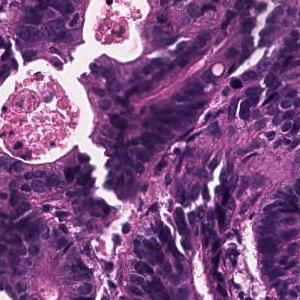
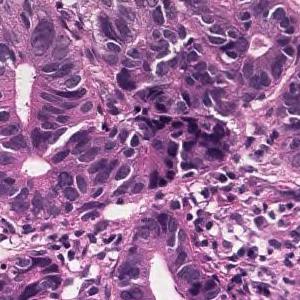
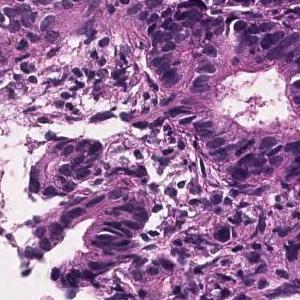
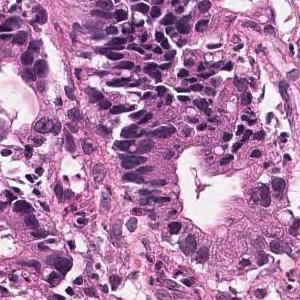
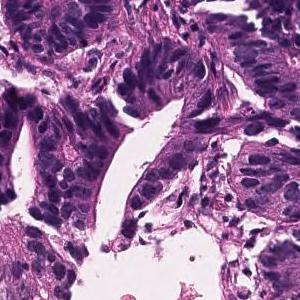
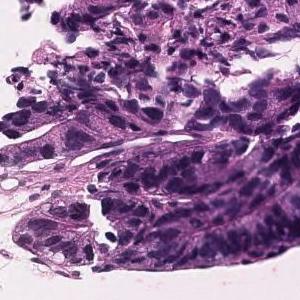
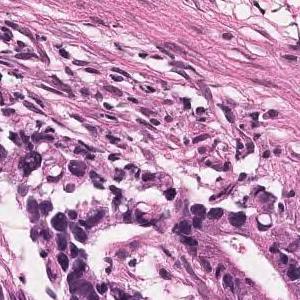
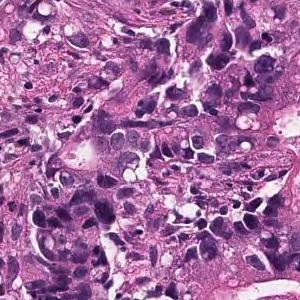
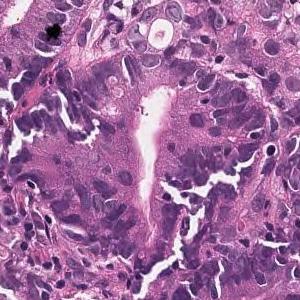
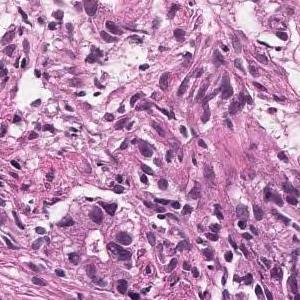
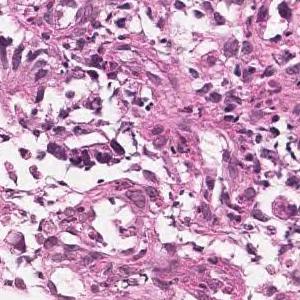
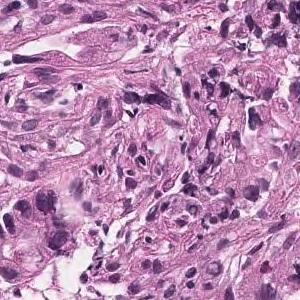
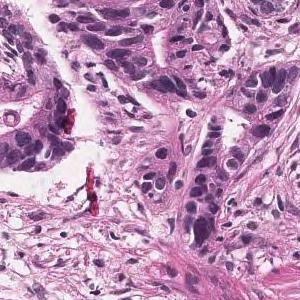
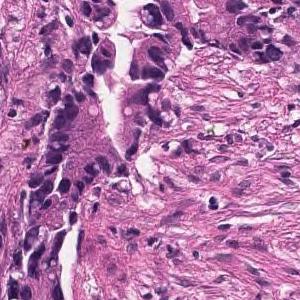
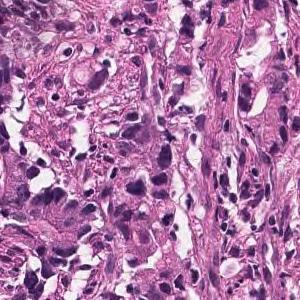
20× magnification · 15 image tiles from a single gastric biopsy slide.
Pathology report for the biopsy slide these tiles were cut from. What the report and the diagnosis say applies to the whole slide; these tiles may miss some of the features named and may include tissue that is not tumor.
In the superficial epithelium, tumor tissue is found in which medium-sized irregular gland ducts fuse with each other and infiltrate. moderately differentiated tubular adenocarcinoma
